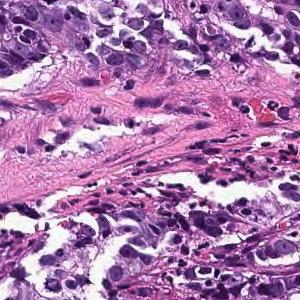
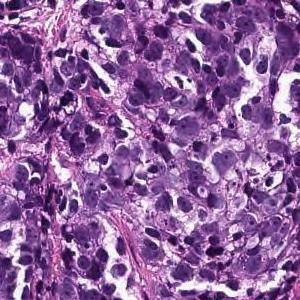
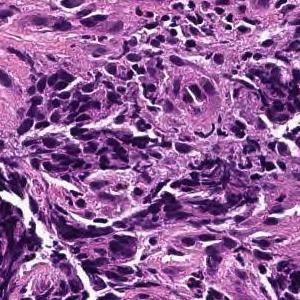
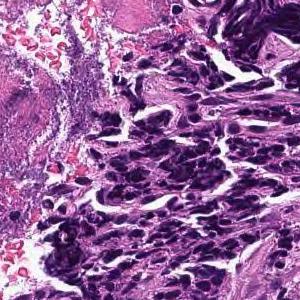
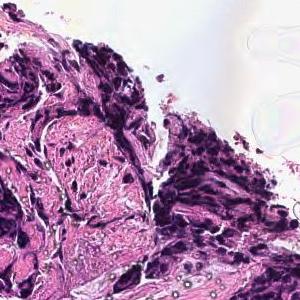
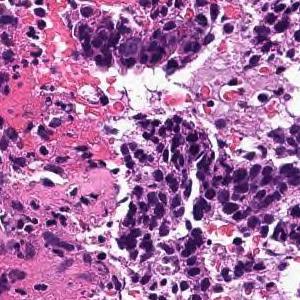
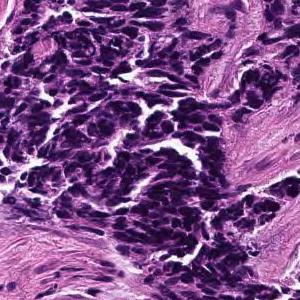
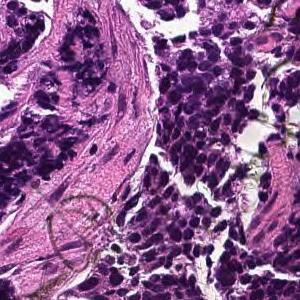
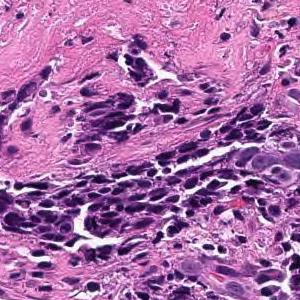
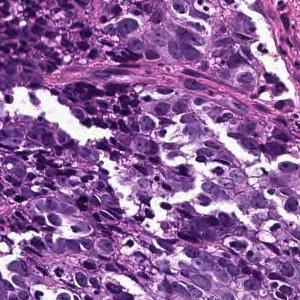
Hematoxylin and eosin stain; 10 tiles cut from one stomach biopsy slide; 300×300 px each.
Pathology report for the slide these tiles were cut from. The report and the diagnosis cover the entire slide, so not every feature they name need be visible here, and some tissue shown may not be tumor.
The superficial epithelium shows a large sheet or alveolar shape, and tumor tissue infiltrating without irregular ducts is observed. Poorly differentiated adenocarcinoma, solid-type
Tumor subtype: poorly differentiated adenocarcinoma, solid type. This name comes from the Japanese Classification of Gastric Carcinoma; the WHO 2019 classification calls it tubular adenocarcinoma, poorly differentiated.
